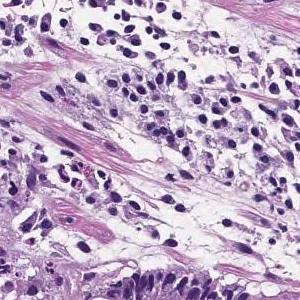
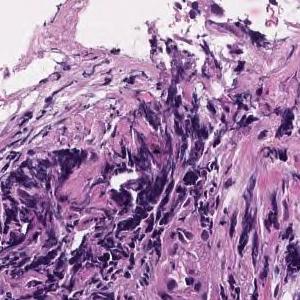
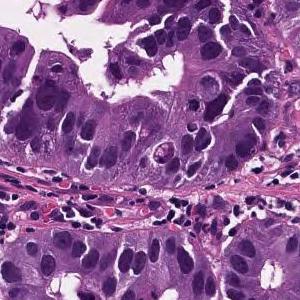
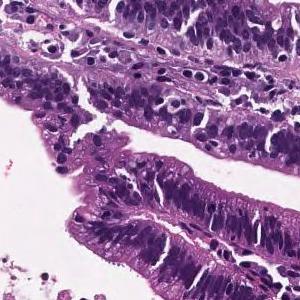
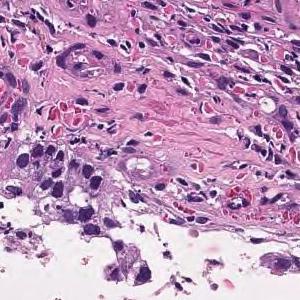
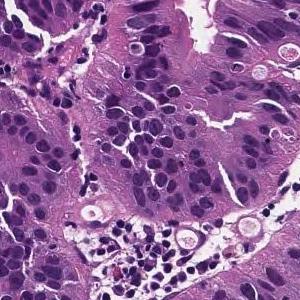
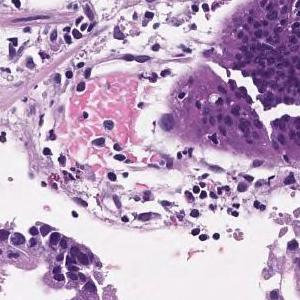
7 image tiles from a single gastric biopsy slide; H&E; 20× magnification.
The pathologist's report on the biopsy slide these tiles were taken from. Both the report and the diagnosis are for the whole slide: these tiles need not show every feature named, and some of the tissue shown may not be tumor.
Tumor cells are large, highly columnar, large club-shaped nuclei, and are associated with chromatin aggregation. Papillary adenocarcinoma.
